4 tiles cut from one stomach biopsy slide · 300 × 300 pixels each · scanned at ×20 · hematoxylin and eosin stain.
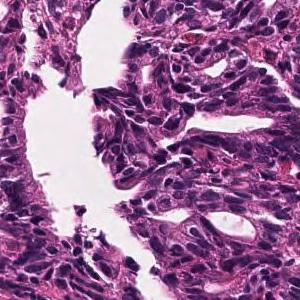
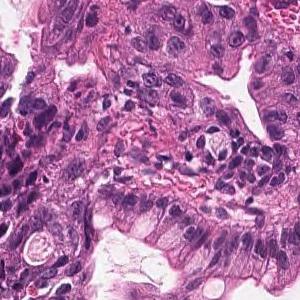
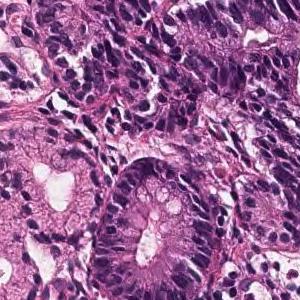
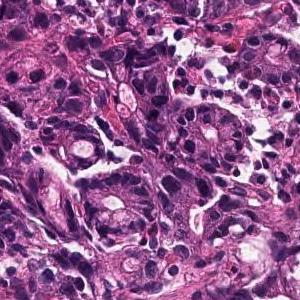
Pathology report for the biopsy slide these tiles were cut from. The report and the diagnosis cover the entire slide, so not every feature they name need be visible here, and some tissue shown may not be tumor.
On the superficial epithelium, tumor tissue consisting of large, irregular glandular ducts partially fused and infiltrated is observed. Well to moderately differentiated tubular adenocarcinoma (well differentiated tubular adenocarcinoma, moderately differentiated tubular adenocarcinoma)
Histological subtype: Well to moderately differentiated tubular adenocarcinoma.
